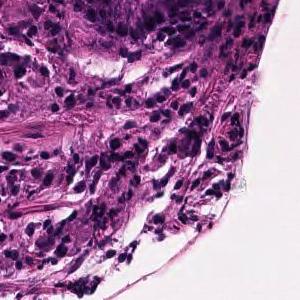
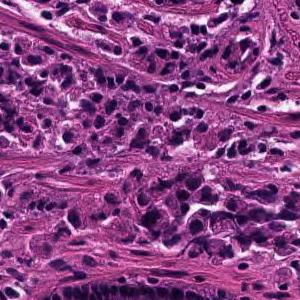
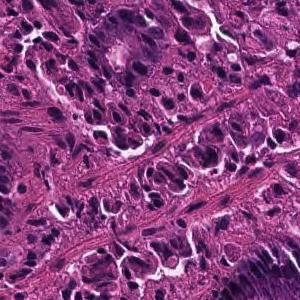
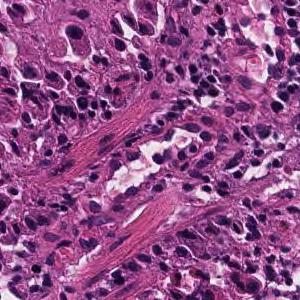
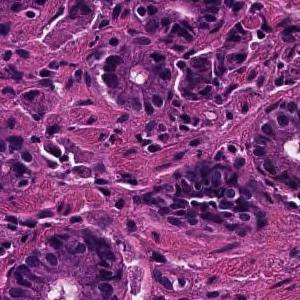
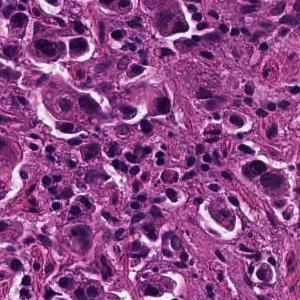
6 image tiles from a single gastric biopsy slide; 300 × 300 pixels each; H&E stain.
Report on the slide these tiles come from. Both the report and the diagnosis are for the whole slide: these tiles need not show every feature named, and some of the tissue shown may not be tumor.
Tumor tissue consisting of cord-like or small, irregular glandular ducts fused and infiltrated is observed in the superficial epithelium. Poorly differentiated adenocarcinoma, non-solid type
The term "non-solid type" comes from the Japanese Classification of Gastric Carcinoma.
